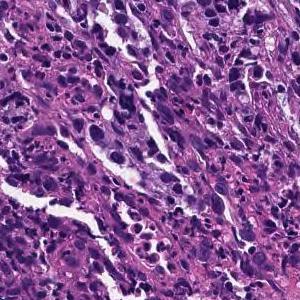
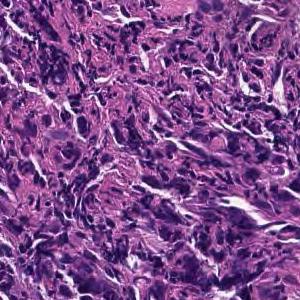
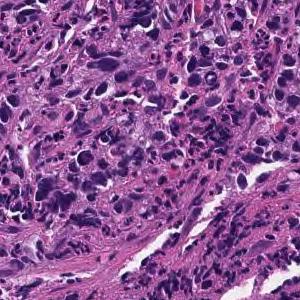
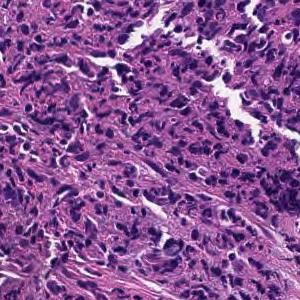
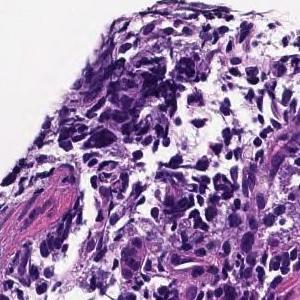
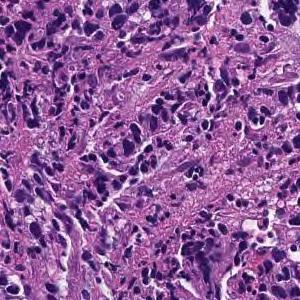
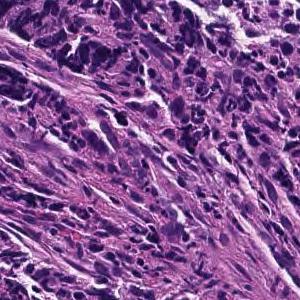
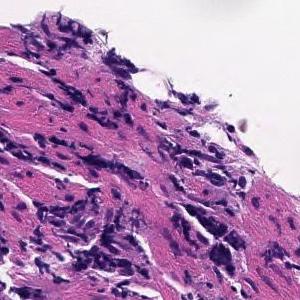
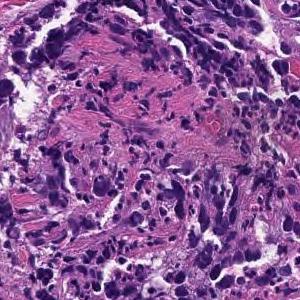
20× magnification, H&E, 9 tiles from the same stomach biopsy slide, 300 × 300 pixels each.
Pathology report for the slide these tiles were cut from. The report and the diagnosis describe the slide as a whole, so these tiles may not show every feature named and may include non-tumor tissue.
Tumor tissue consisting of cord-like or small, irregular glandular ducts fused and infiltrated is observed in the superficial epithelium. Poorly differentiated adenocarcinoma, non-solid type
The term "non-solid type" comes from the Japanese Classification of Gastric Carcinoma.
